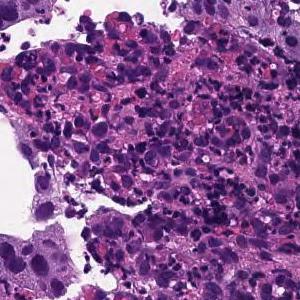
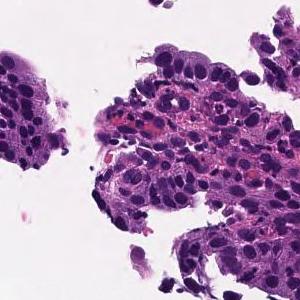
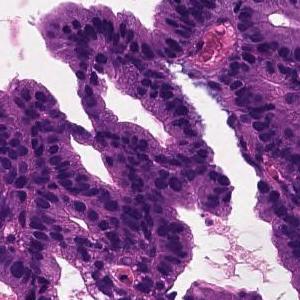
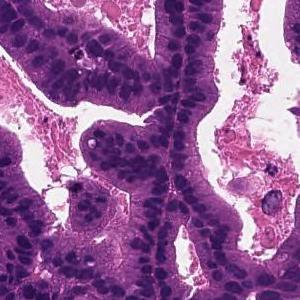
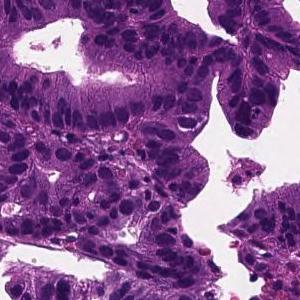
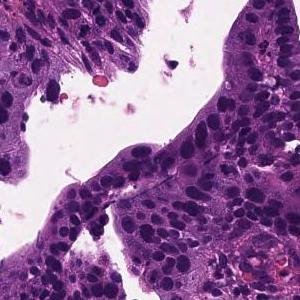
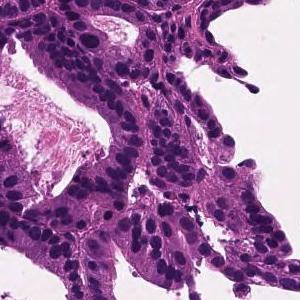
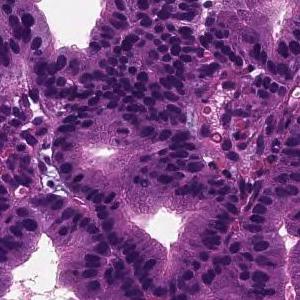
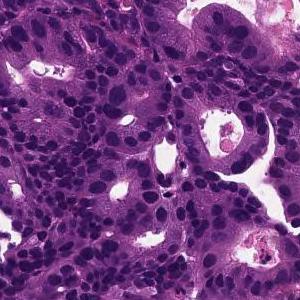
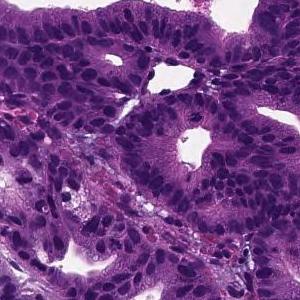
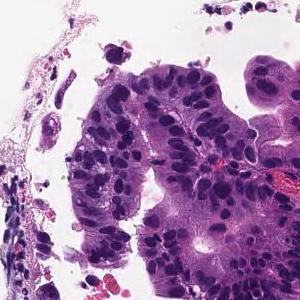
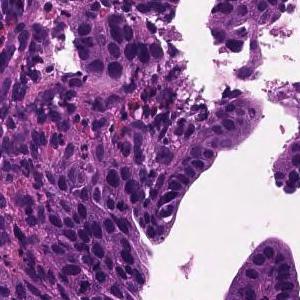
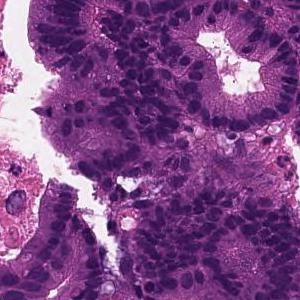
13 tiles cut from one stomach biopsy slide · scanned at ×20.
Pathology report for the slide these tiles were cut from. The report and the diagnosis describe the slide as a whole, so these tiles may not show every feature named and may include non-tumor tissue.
Tumor cells are large, highly columnar, large club-shaped nuclei, and are associated with chromatin aggregation. Papillary adenocarcinoma.
